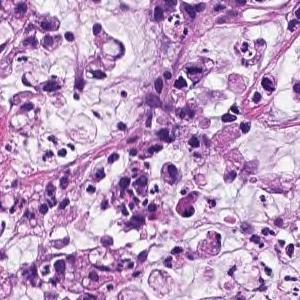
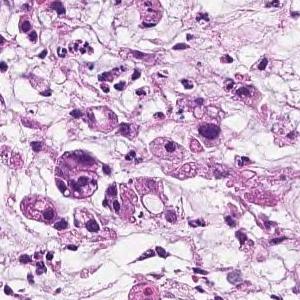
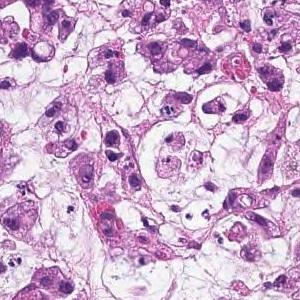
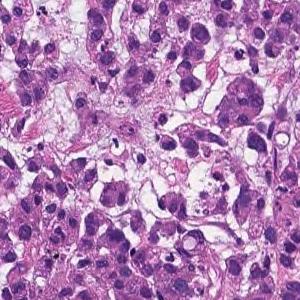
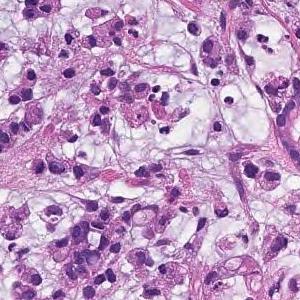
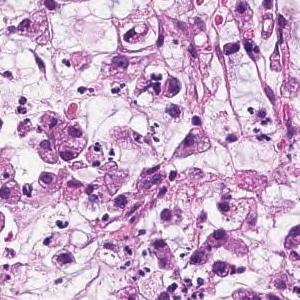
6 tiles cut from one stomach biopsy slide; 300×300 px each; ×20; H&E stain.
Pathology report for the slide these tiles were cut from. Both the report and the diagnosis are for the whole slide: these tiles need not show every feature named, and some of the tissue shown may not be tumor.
Tumor tissue consisting of cord-like or small, irregular glandular ducts fused and infiltrated is observed in the superficial epithelium. Poorly differentiated adenocarcinoma, non-solid type
"Non-solid type" is a category of the Japanese Classification of Gastric Carcinoma.
